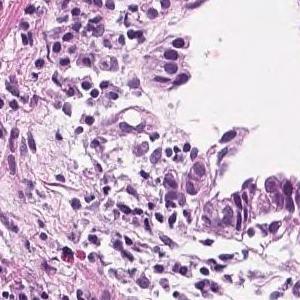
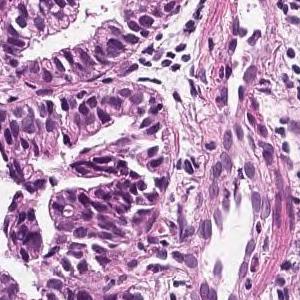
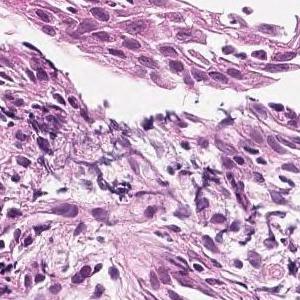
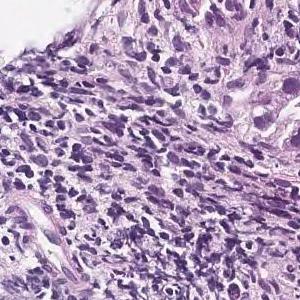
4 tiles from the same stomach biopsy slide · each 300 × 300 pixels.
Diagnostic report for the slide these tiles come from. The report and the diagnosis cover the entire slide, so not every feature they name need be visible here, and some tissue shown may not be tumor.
In the superficial epithelium, tumor tissue that invades by forming medium-sized to small, irregular ducts is observed. moderately differentiated tubular adenocarcinoma.
